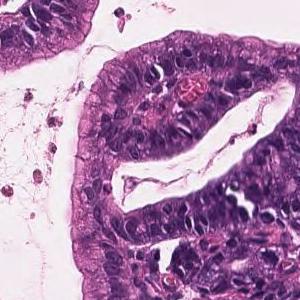
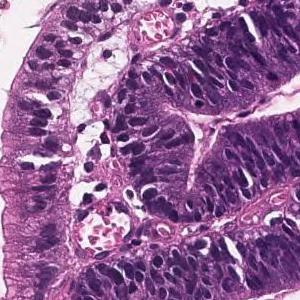
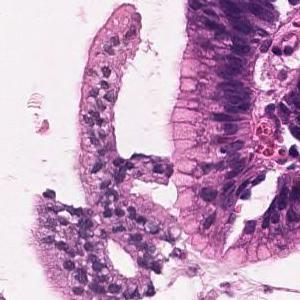
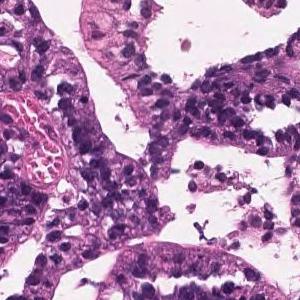
Hematoxylin and eosin stain, 4 tiles cut from one stomach biopsy slide.
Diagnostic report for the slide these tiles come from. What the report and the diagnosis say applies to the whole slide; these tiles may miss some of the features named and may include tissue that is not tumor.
On the superficial epithelium, tumor tissue that infiltrates by forming medium-sized papillary or small irregular ducts is observed. Papillary adenocarcinoma
